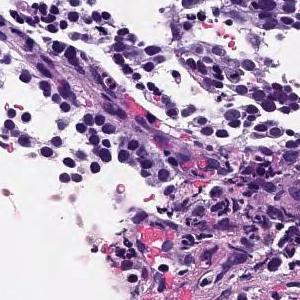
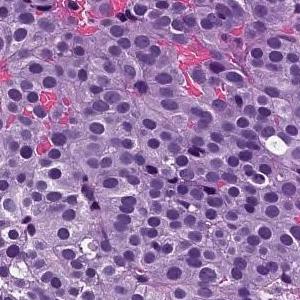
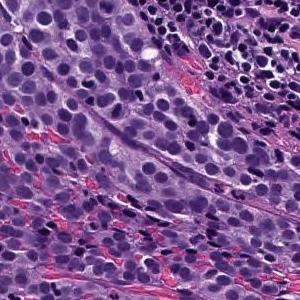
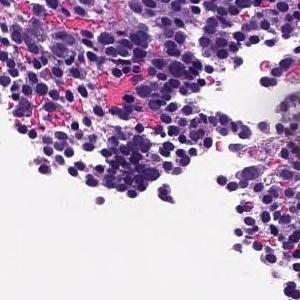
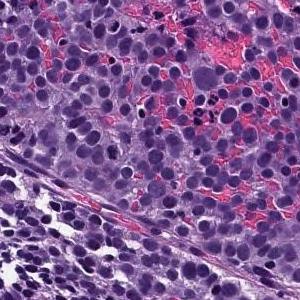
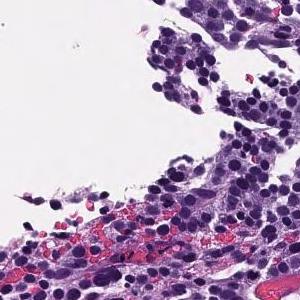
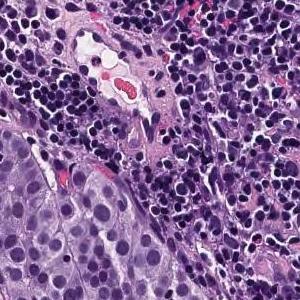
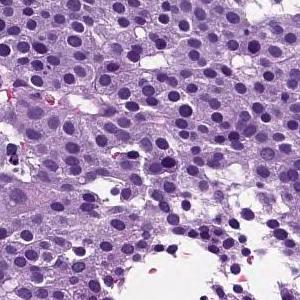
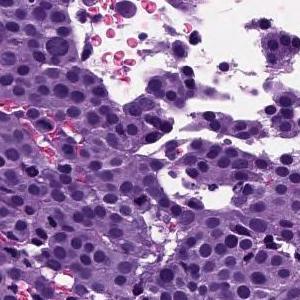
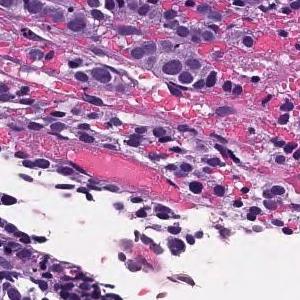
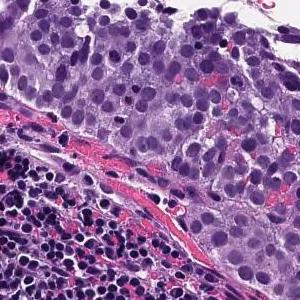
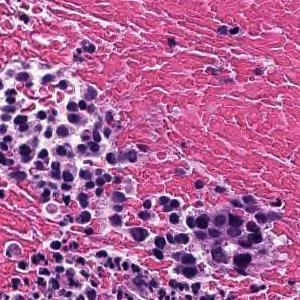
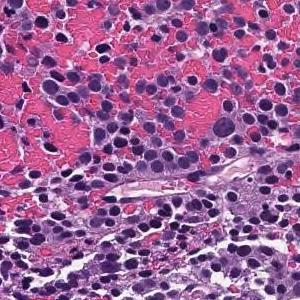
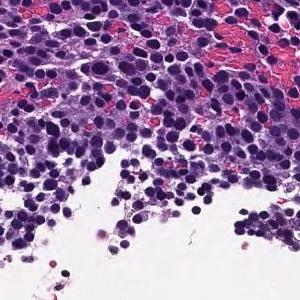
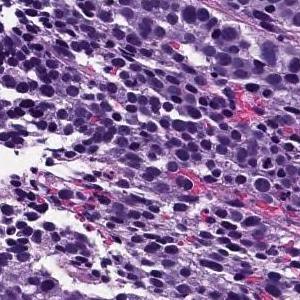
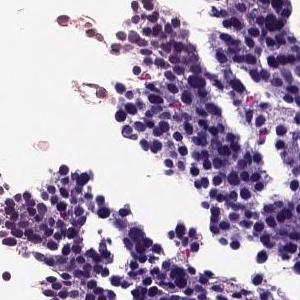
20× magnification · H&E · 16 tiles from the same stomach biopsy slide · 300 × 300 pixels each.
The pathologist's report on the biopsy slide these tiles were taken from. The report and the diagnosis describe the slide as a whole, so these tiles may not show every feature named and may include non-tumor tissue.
The superficial epithelium shows a large sheet-like shape, and some tumor tissue infiltrates with small irregular ducts. Poorly differentiated adenocarcinoma, solid-type
Tumor subtype: poorly differentiated adenocarcinoma, solid type (Japanese Classification of Gastric Carcinoma). The WHO 2019 equivalent is tubular adenocarcinoma, poorly differentiated.
